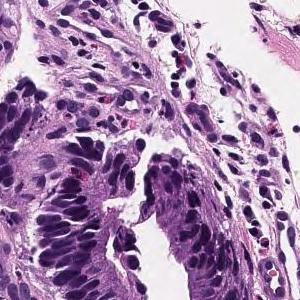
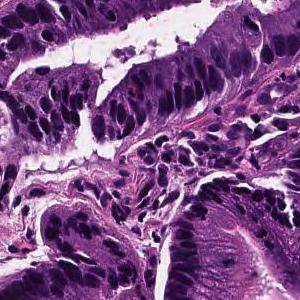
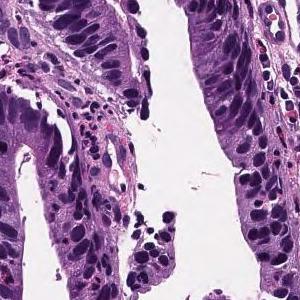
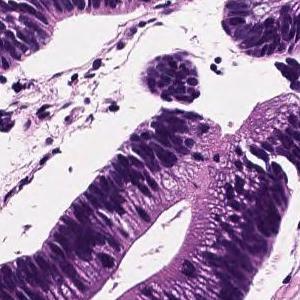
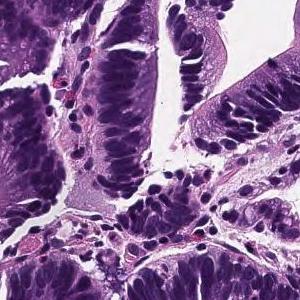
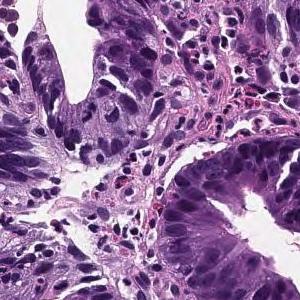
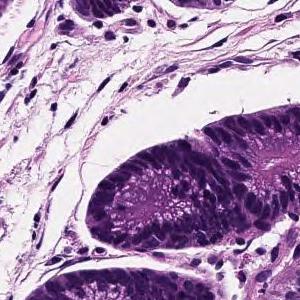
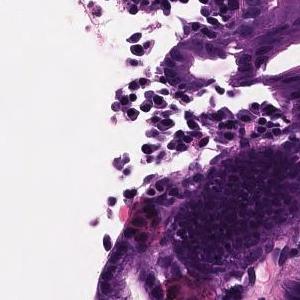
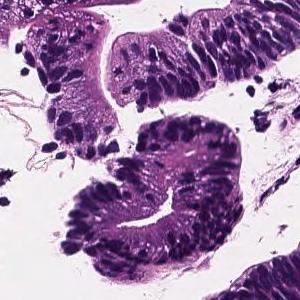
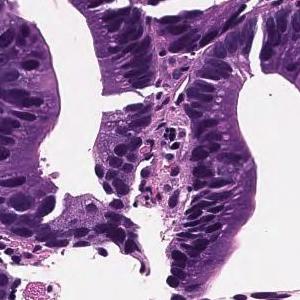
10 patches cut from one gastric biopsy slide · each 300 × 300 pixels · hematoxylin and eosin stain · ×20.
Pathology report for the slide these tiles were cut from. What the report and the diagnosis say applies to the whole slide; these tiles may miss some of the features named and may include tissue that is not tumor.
Tumor cells are large, highly columnar, large club-shaped nuclei, and are associated with chromatin aggregation. Papillary adenocarcinoma.
